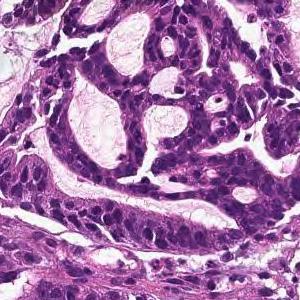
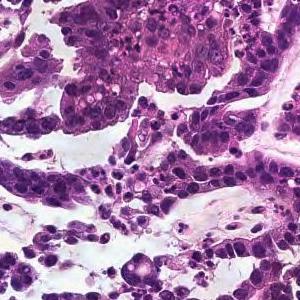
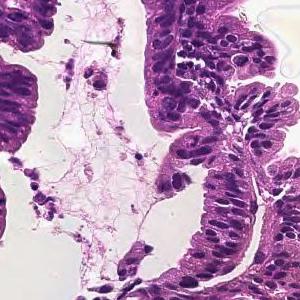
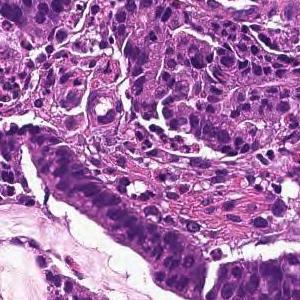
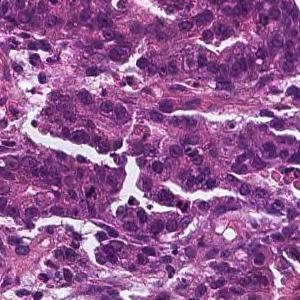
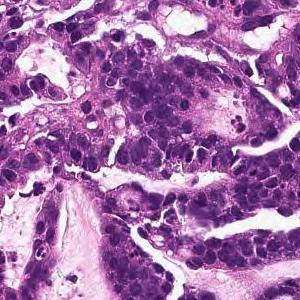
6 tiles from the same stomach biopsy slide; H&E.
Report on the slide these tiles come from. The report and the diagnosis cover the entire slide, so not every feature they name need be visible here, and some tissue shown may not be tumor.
In the superficial epithelium, tumor tissue that invades by forming medium-sized to small, irregular ducts is observed. moderately differentiated tubular adenocarcinoma.
